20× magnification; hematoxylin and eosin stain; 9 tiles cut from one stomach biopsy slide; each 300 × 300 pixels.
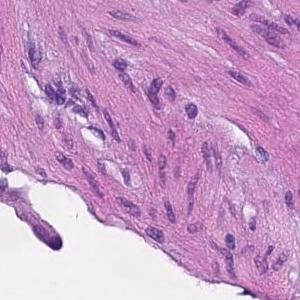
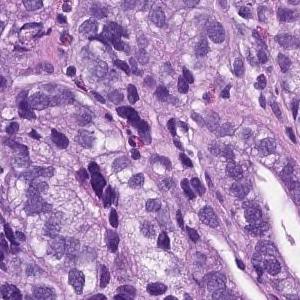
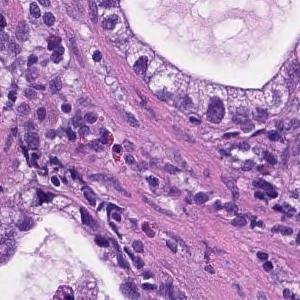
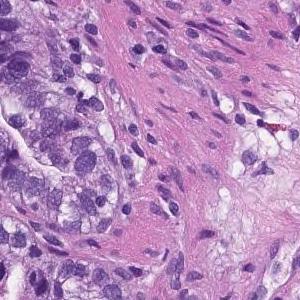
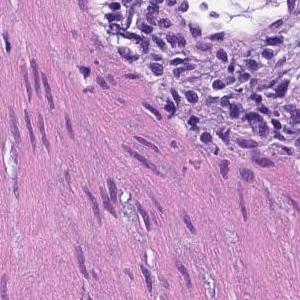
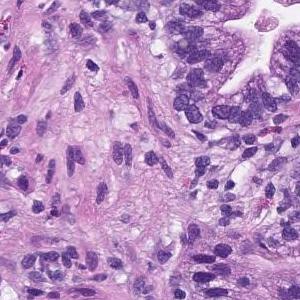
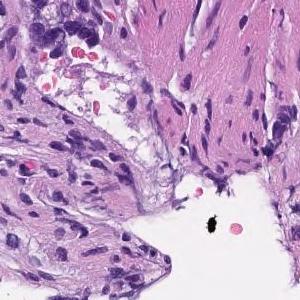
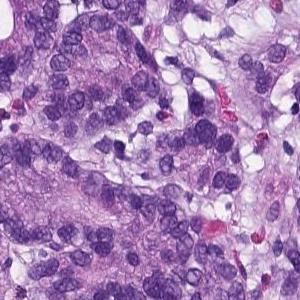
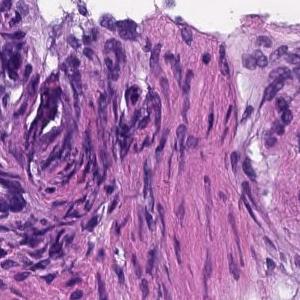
Report on the slide these tiles come from. The report and the diagnosis cover the entire slide, so not every feature they name need be visible here, and some tissue shown may not be tumor.
From the superficial epithelium to the muscularis mucosae, tumor tissue consisting of medium-sized and irregular glandular ducts infiltrating is observed. Well differentiated tubular adenocarcinoma
